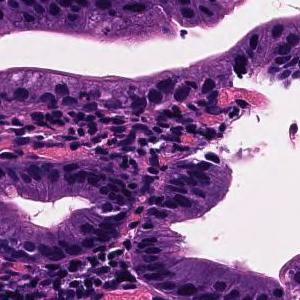
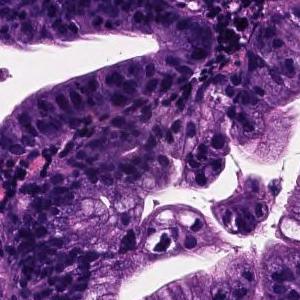
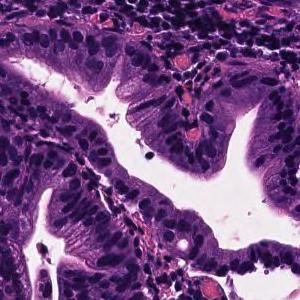
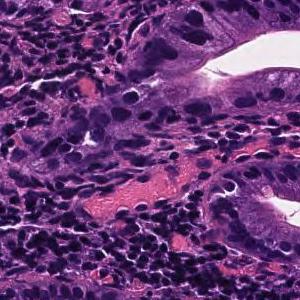
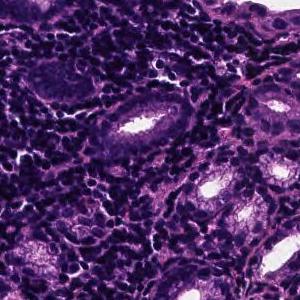
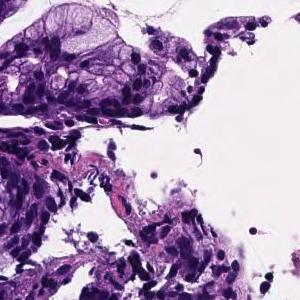
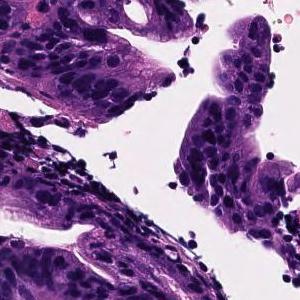
7 tiles cut from one stomach biopsy slide, 300 × 300 pixels each, ×20, H&E.
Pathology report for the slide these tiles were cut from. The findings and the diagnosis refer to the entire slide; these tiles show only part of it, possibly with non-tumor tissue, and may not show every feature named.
On the superficial epithelium, tumor tissue that infiltrates by forming medium-sized papillary or small irregular ducts is observed. Papillary adenocarcinoma
